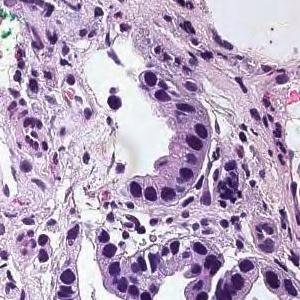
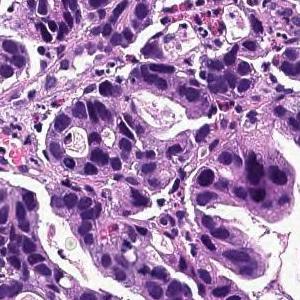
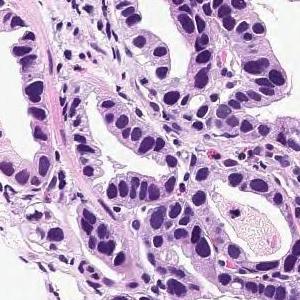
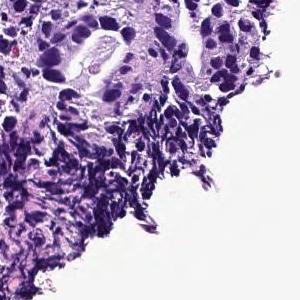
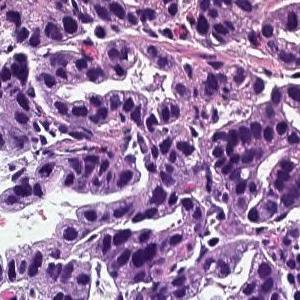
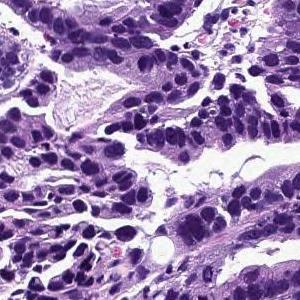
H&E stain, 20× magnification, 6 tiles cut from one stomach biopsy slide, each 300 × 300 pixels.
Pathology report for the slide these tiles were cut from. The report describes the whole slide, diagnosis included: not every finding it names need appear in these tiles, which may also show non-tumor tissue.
On the superficial epithelium, tumor tissue consisting of large irregular glandular ducts partially fused and infiltrated is observed. Well to moderately differentiated tubular adenocarcinoma (well differentiated tubular adenocarcinoma, moderately differentiated tubular adenocarcinoma)
Subtype: Well to moderately differentiated tubular adenocarcinoma.
